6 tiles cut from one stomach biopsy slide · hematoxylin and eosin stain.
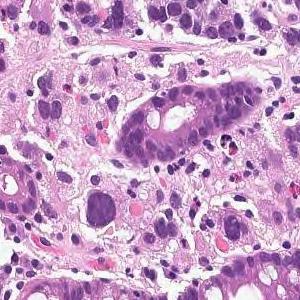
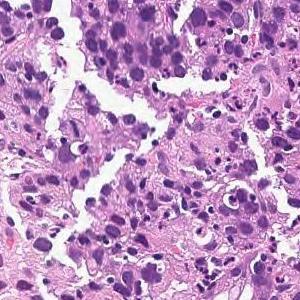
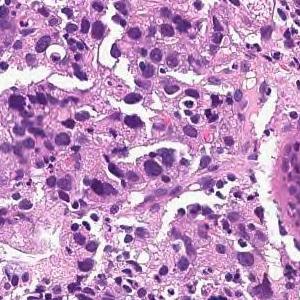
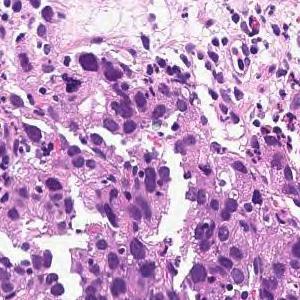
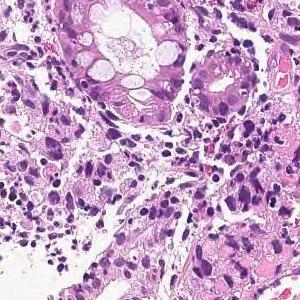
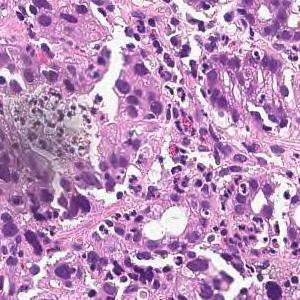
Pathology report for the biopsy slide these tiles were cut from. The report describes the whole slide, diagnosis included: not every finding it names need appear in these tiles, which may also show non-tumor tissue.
Tumor tissue consisting of medium-sized, cord-like or irregular glandular infiltration is observed in the superficial epithelium. Poorly differentiated adenocarcinoma, non-solid type or moderately differentiated tubular adenocarcinoma (moderately differentiated tubular adenocarcinoma)
The dataset labels this slide moderately differentiated tubular adenocarcinoma.
The term "non-solid type" comes from the Japanese Classification of Gastric Carcinoma.
